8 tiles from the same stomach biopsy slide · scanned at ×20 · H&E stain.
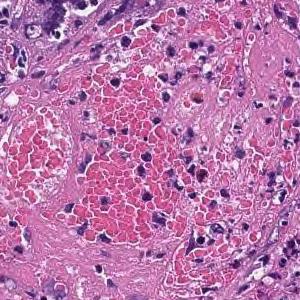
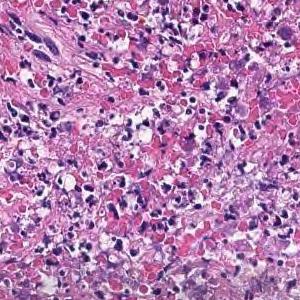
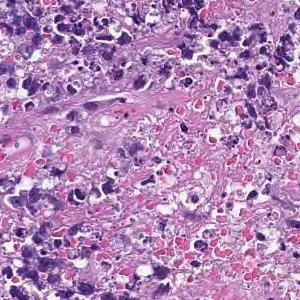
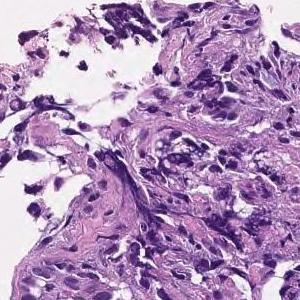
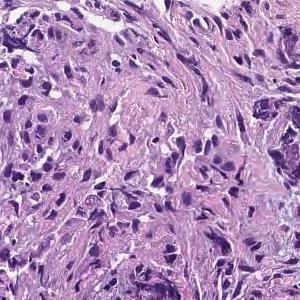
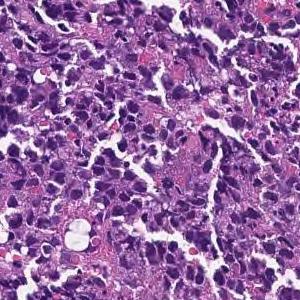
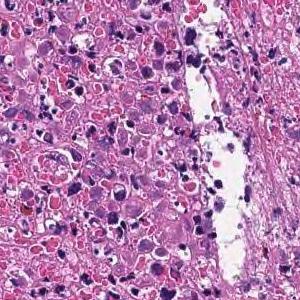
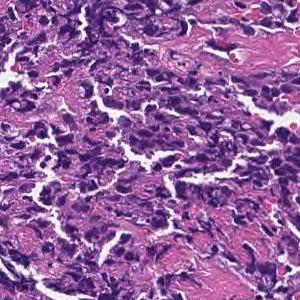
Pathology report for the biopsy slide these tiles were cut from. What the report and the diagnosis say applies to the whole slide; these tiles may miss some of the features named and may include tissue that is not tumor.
Most are composed of coagulative necrotic tissue, but some show a large sheet-like shape, and some show tumor tissue infiltrating with a small cord-like structure. Poorly differentiated adenocarcinoma, solid-type
Tumor subtype: poorly differentiated adenocarcinoma, solid type. This name comes from the Japanese Classification of Gastric Carcinoma; the WHO 2019 classification calls it tubular adenocarcinoma, poorly differentiated.
